4 patches cut from one gastric biopsy slide · 300×300 px each · 20× magnification.
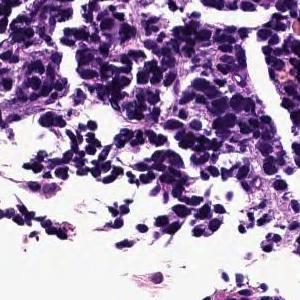
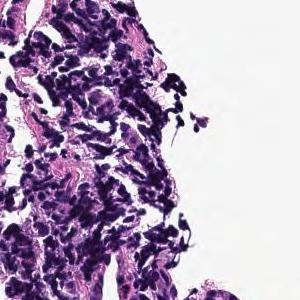
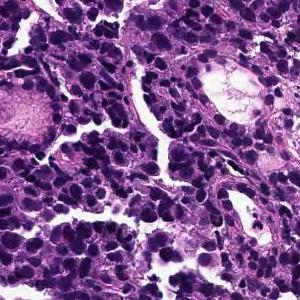
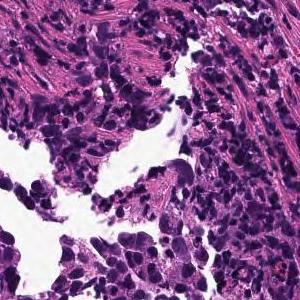
The pathologist's report on the biopsy slide these tiles were taken from. What the report and the diagnosis say applies to the whole slide; these tiles may miss some of the features named and may include tissue that is not tumor.
The superficial epithelium shows large alveolar or sheet-like forms, and some tumor tissue infiltrates with small irregular ducts. Poorly differentiated adenocarcinoma, solid-type
Histological subtype: Poorly differentiated adenocarcinoma, solid type. This name comes from the Japanese Classification of Gastric Carcinoma; the WHO 2019 classification calls it tubular adenocarcinoma, poorly differentiated.
